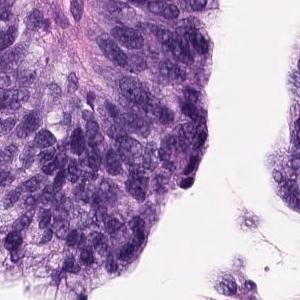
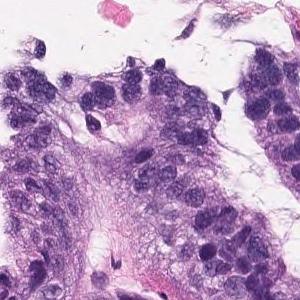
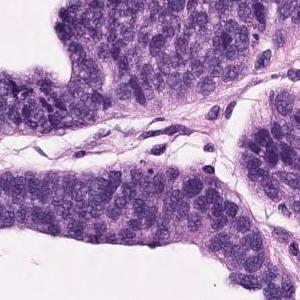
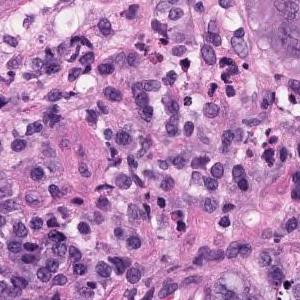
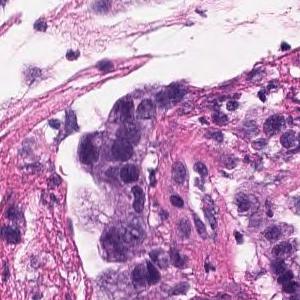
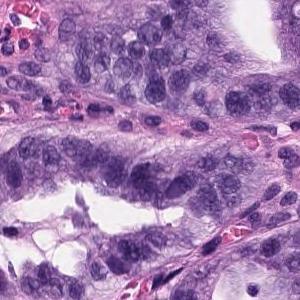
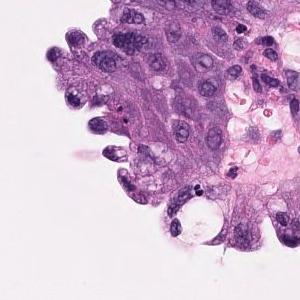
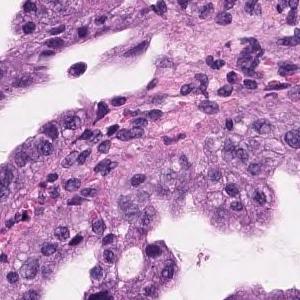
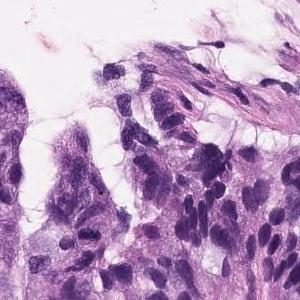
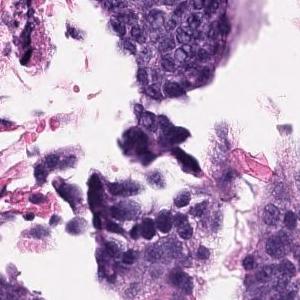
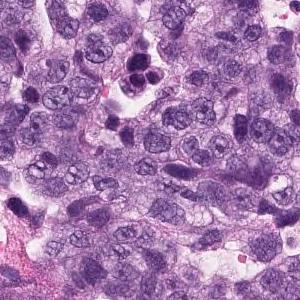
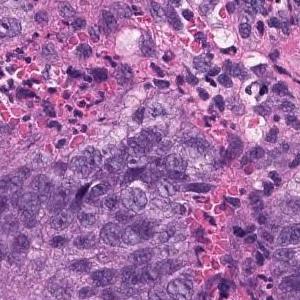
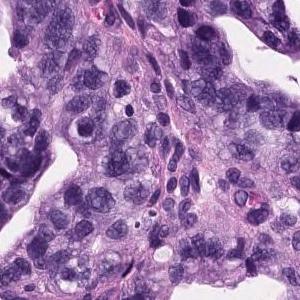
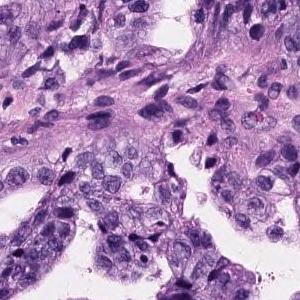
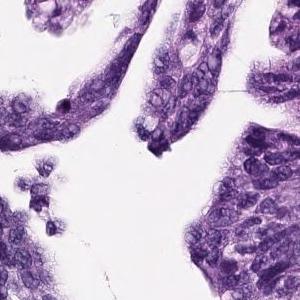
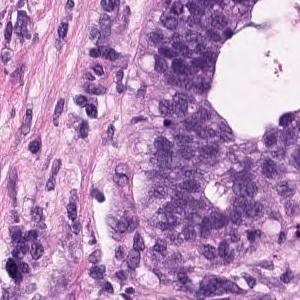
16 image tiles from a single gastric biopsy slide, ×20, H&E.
Report on the slide these tiles come from. The report and the diagnosis cover the entire slide, so not every feature they name need be visible here, and some tissue shown may not be tumor.
Tumor cells are large, highly columnar, large club-shaped nuclei, and are associated with chromatin aggregation. Papillary adenocarcinoma.
